Scanned at ×20 · hematoxylin and eosin stain · 15 tiles cut from one stomach biopsy slide · 300×300 px each.
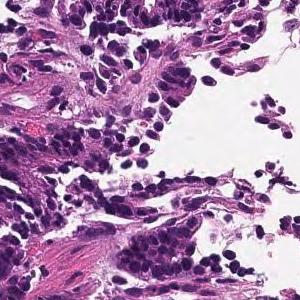
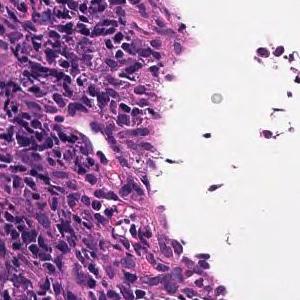
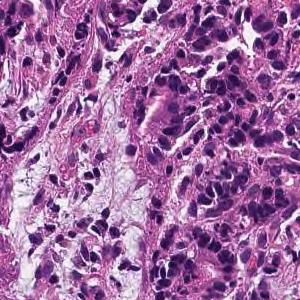
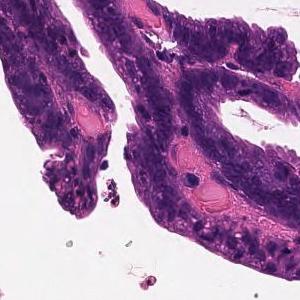
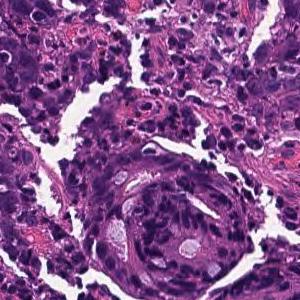
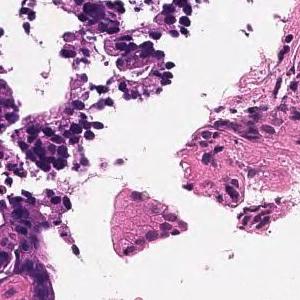
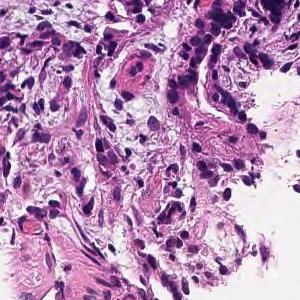
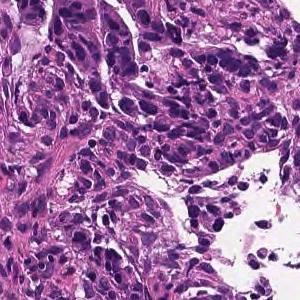
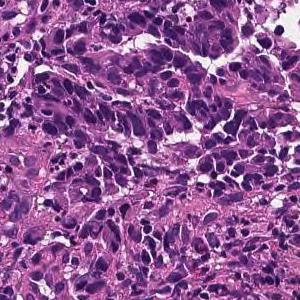
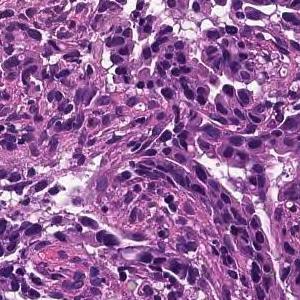
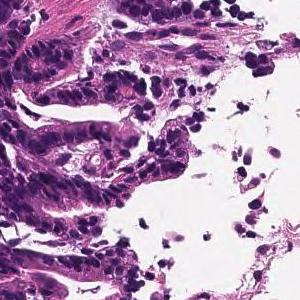
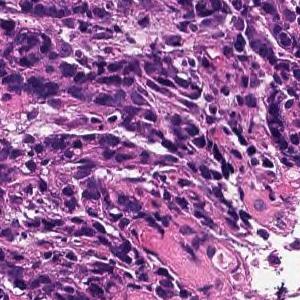
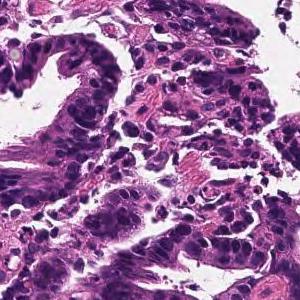
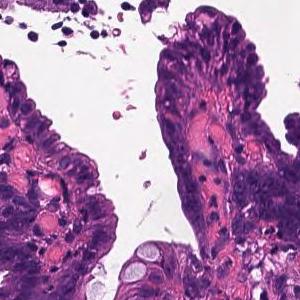
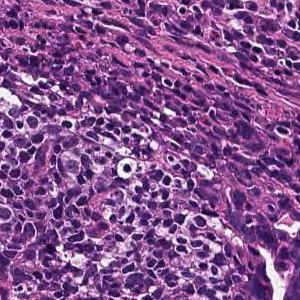
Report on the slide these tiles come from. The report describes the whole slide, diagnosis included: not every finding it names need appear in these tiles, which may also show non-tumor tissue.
Medium to small, irregular glandular ducts are formed in the superficial epithelium, and some tumor tissues show small cords and infiltrate. moderately differentiated tubular adenocarcinoma or Poorly differentiated adenocarcinoma, non-solid type
The dataset labels this slide moderately differentiated tubular adenocarcinoma.
"Non-solid type" is a category of the Japanese Classification of Gastric Carcinoma.
